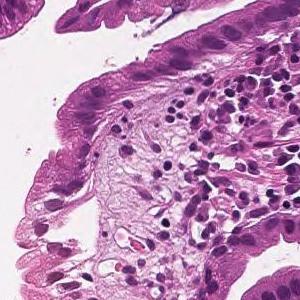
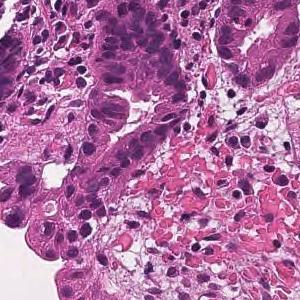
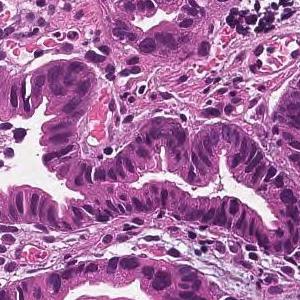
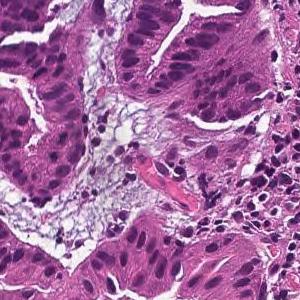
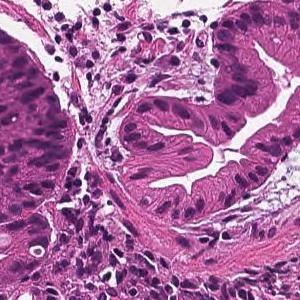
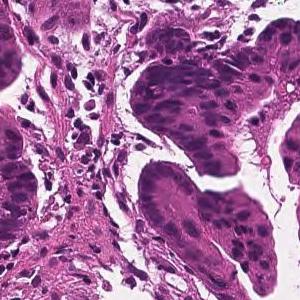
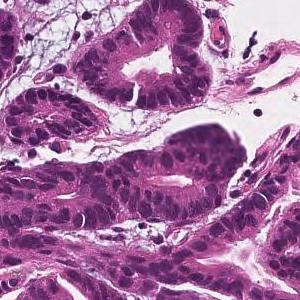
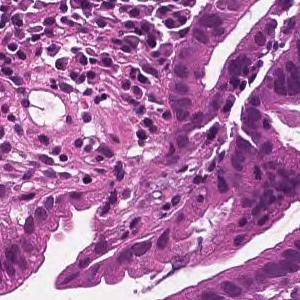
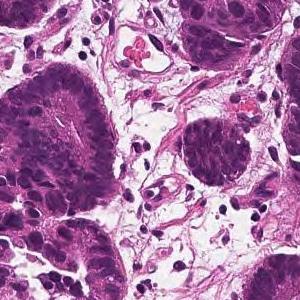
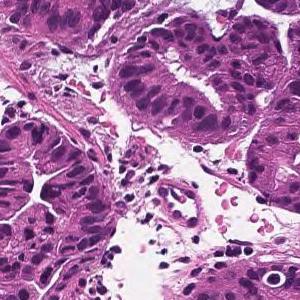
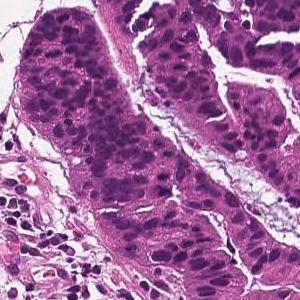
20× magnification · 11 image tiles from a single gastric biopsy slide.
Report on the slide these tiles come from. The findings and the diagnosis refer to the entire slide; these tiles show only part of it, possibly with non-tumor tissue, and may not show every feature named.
From the superficial epithelium to the muscularis mucosae, tumor tissue consisting of medium-sized and irregular glandular ducts infiltrating is observed. Well differentiated tubular adenocarcinoma
